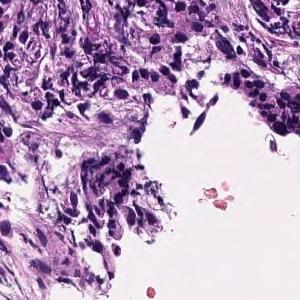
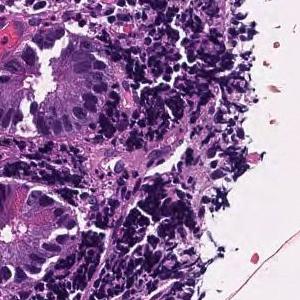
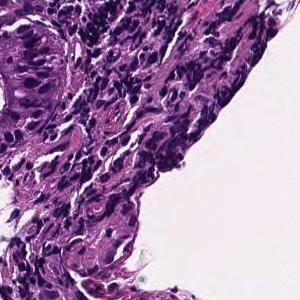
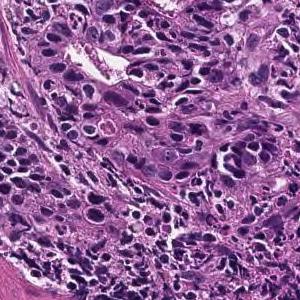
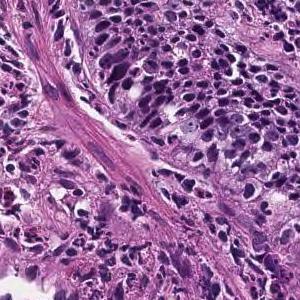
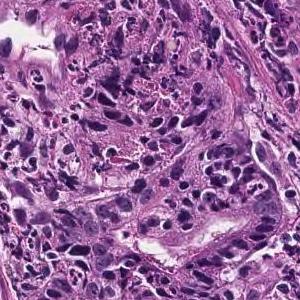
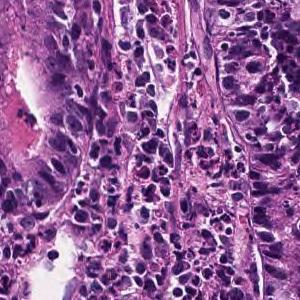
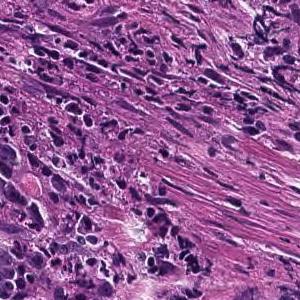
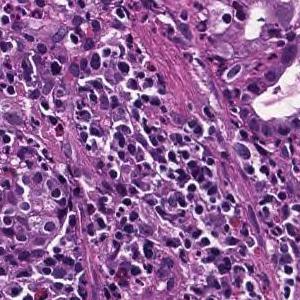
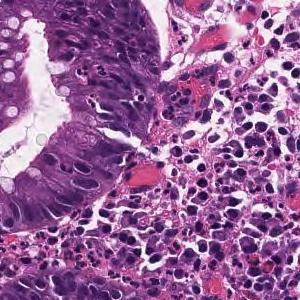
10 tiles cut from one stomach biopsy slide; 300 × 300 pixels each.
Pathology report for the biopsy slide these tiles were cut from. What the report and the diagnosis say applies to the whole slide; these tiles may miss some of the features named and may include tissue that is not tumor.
On the superficial epithelium, tumor tissue consisting of large, irregular glandular ducts partially fused and infiltrated is observed. Well to moderately differentiated tubular adenocarcinoma (well differentiated tubular adenocarcinoma, moderately differentiated tubular adenocarcinoma)
Histologic type: Well to moderately differentiated tubular adenocarcinoma.
